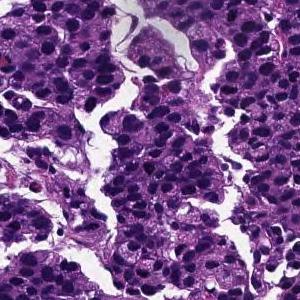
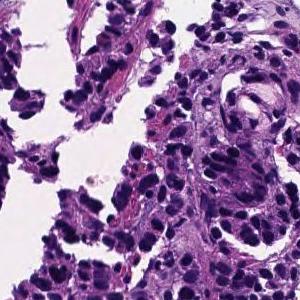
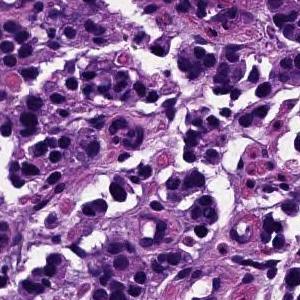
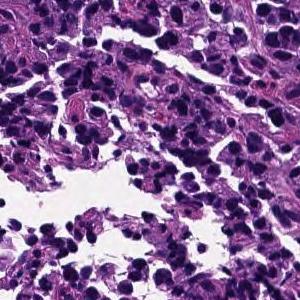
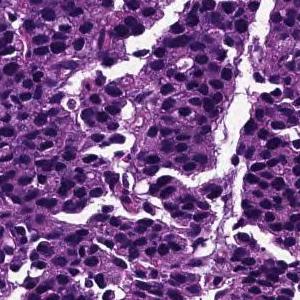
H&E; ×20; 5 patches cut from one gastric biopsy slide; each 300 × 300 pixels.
Pathology report for the biopsy slide these tiles were cut from. The report and the diagnosis cover the entire slide, so not every feature they name need be visible here, and some tissue shown may not be tumor.
The superficial epithelium shows a large alveolar shape and infiltrates tumor tissue. Poorly differentiated adenocarcinoma, solid-type
Classified as poorly differentiated adenocarcinoma, solid type, a category of the Japanese Classification of Gastric Carcinoma; in the WHO 2019 classification it is tubular adenocarcinoma, poorly differentiated.
